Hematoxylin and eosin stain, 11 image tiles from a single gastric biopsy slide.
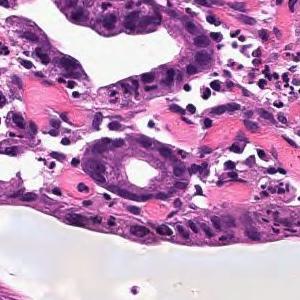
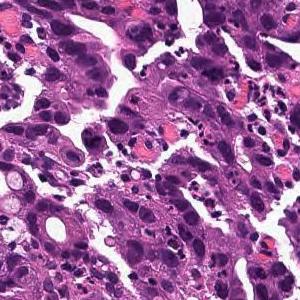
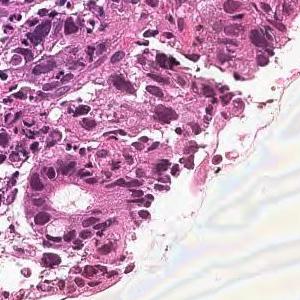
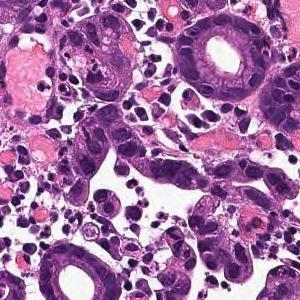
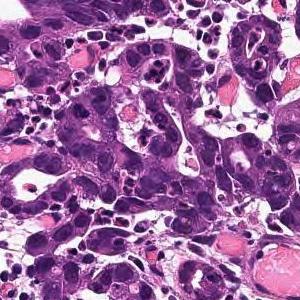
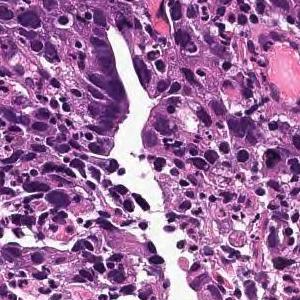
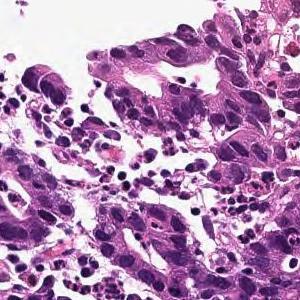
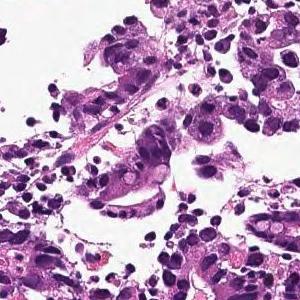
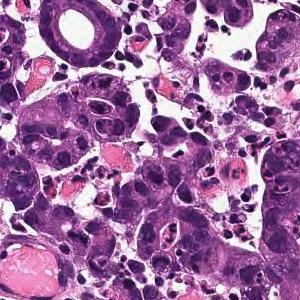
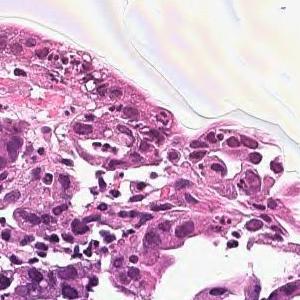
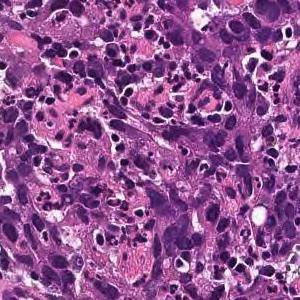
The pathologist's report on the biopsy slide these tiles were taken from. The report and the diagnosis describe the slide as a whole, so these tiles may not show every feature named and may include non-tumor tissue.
On the superficial epithelium, a tumor tissue consisting of a large, irregular glandular duct partially fused and infiltrating with a small alveolar shape is observed. Well or moderately differentiated tubular adenocarcinoma (well differentiated tubular adenocarcinoma, moderately differentiated tubular adenocarcinoma)
Histologic type: Well to moderately differentiated tubular adenocarcinoma.
